12 patches cut from one gastric biopsy slide; 300×300 px each; H&E stain.
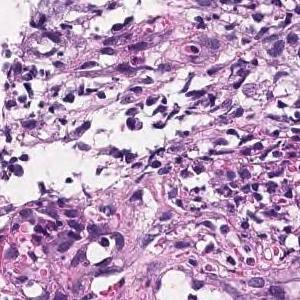
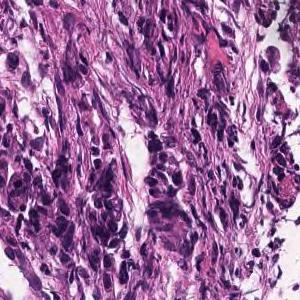
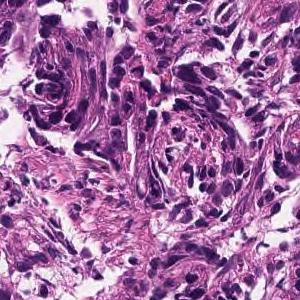
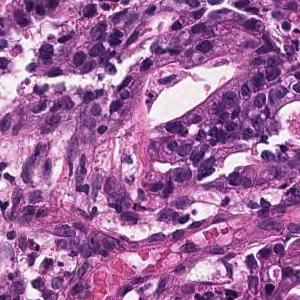
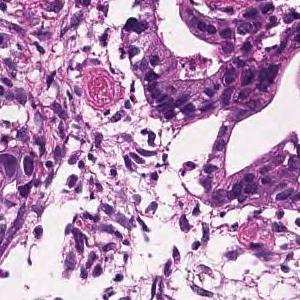
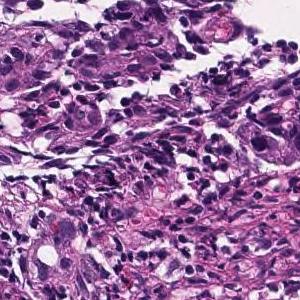
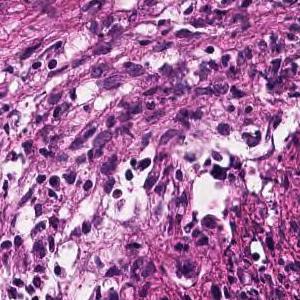
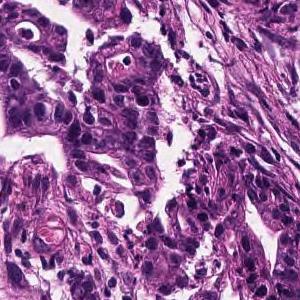
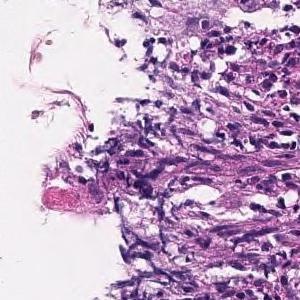
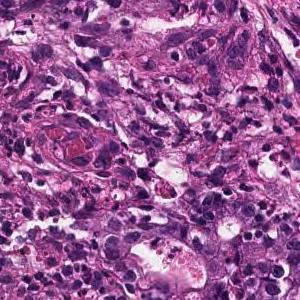
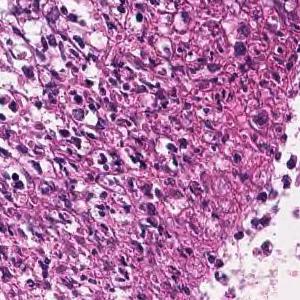
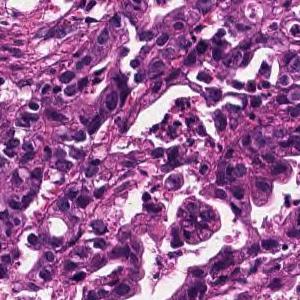
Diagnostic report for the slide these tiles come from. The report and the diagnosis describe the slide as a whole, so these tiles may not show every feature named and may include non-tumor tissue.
In the superficial epithelium, medium to small, irregular gland ducts are formed, and in some cases, the gland ducts are fused to show solid alveolar lesions and infiltrating tumor tissue is observed. Moderately to poorly differentiated adenocarcinoma.
